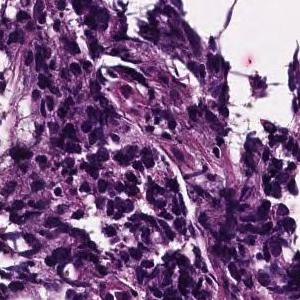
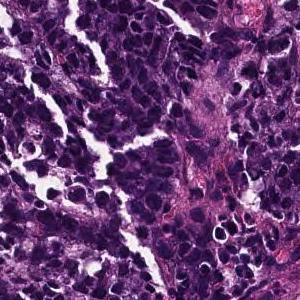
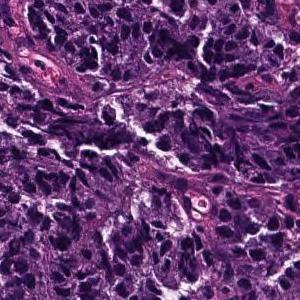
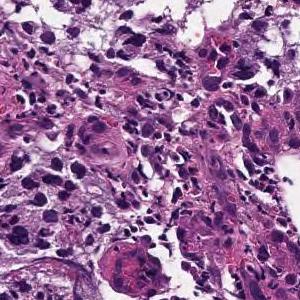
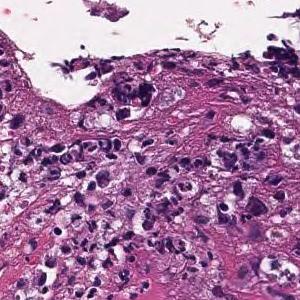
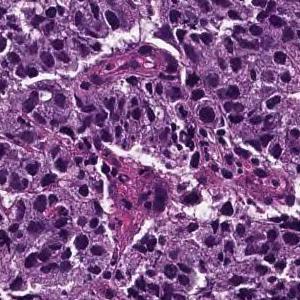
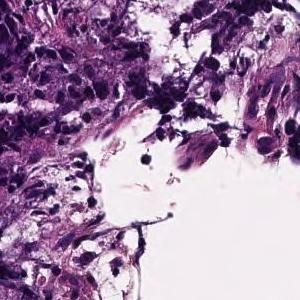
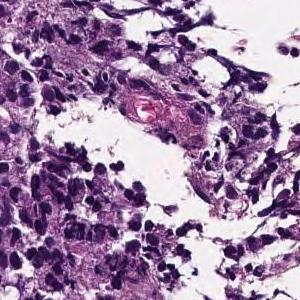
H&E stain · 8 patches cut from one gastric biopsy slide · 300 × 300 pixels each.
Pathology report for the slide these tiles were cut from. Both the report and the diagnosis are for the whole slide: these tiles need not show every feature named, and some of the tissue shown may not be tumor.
The superficial epithelium shows a large sheet-like shape, and some tumor tissue infiltrates with small irregular ducts. Poorly differentiated adenocarcinoma, solid-type
Classified as poorly differentiated adenocarcinoma, solid type (Japanese Classification of Gastric Carcinoma). The WHO 2019 equivalent is tubular adenocarcinoma, poorly differentiated.
